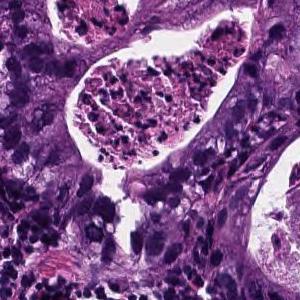
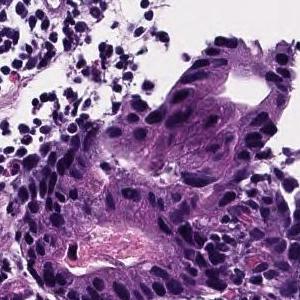
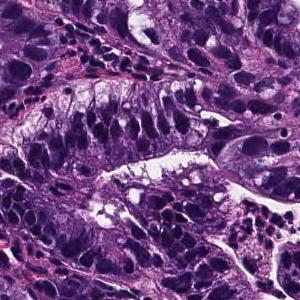
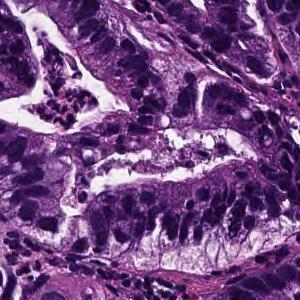
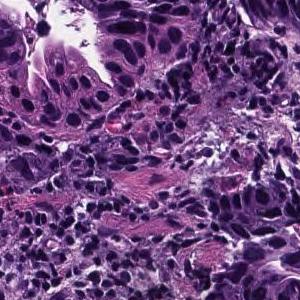
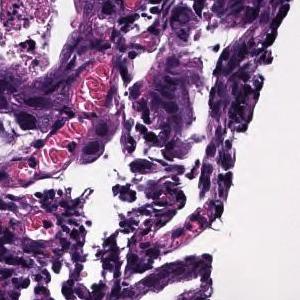
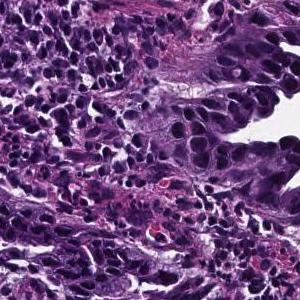
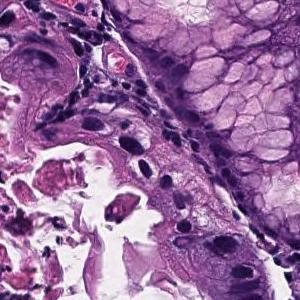
8 image tiles from a single gastric biopsy slide · 300×300 px each · 20× magnification · H&E.
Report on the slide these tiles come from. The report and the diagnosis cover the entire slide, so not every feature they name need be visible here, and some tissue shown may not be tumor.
In the superficial epithelium, tumor tissue that invades by forming medium-sized to small, irregular ducts is observed. Moderately differentiated adenocarcinoma.
Subtype: Moderately differentiated tubular adenocarcinoma.
